Scanned at ×20, H&E, 14 patches cut from one gastric biopsy slide.
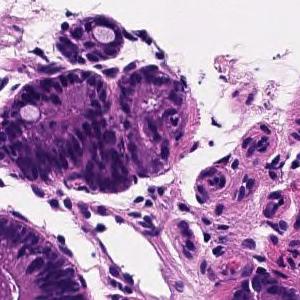
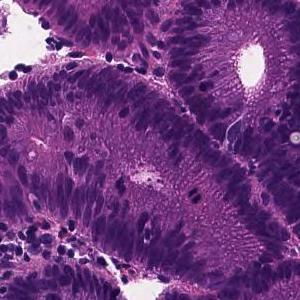
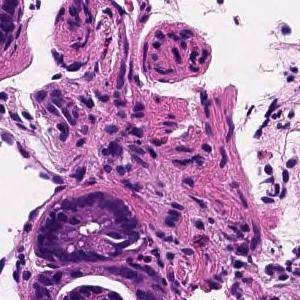
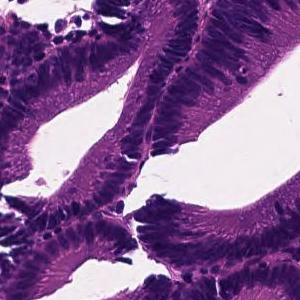
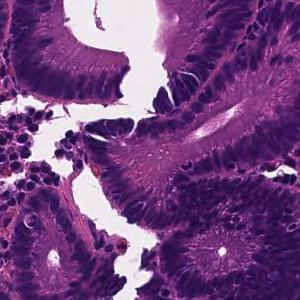
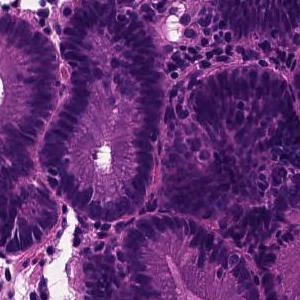
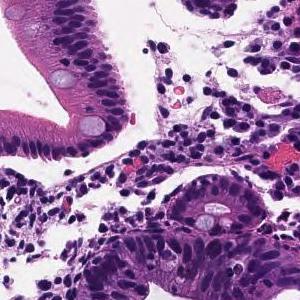
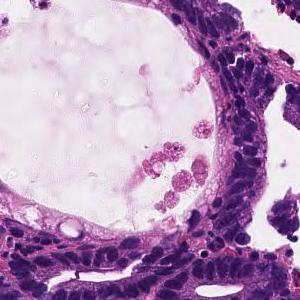
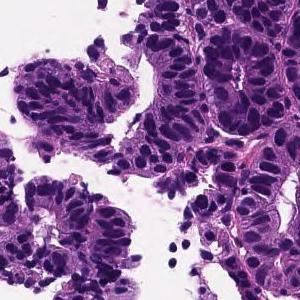
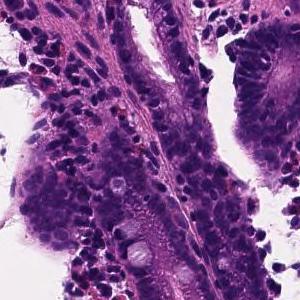
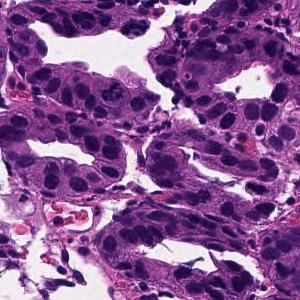
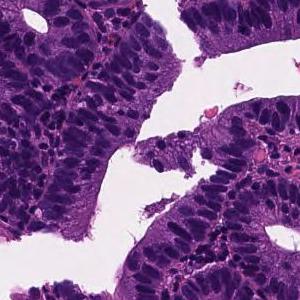
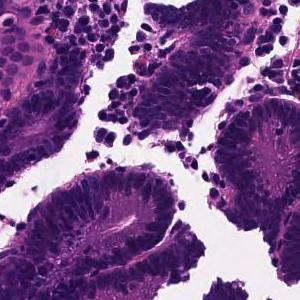
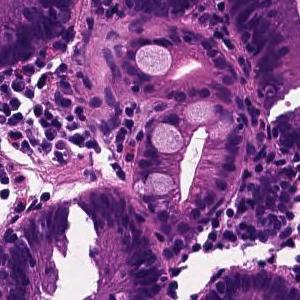
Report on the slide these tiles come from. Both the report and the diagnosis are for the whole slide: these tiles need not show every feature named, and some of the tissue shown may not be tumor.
Tumor tissue in which medium to small irregular ducts infiltrate and proliferate in the submucosa can be seen in the epithelium. Well differentiated tubular adenocarcinoma
